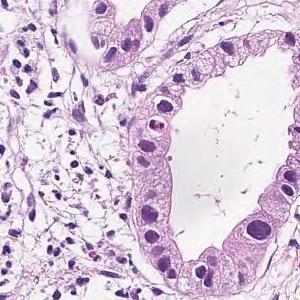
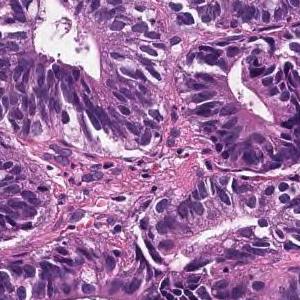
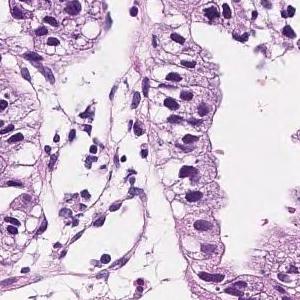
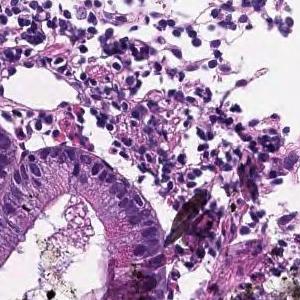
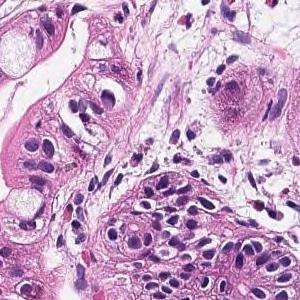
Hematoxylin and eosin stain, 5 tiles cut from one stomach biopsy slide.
The pathologist's report on the biopsy slide these tiles were taken from. The report describes the whole slide, diagnosis included: not every finding it names need appear in these tiles, which may also show non-tumor tissue.
In the superficial epithelium, tumor tissue that invades by forming medium-sized to small, irregular ducts is observed. Moderately differentiated adenocarcinoma.
Tumor subtype: moderately differentiated tubular adenocarcinoma.
